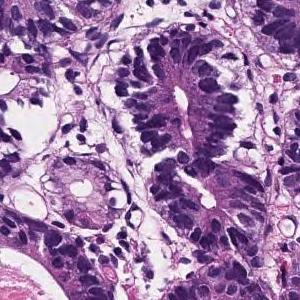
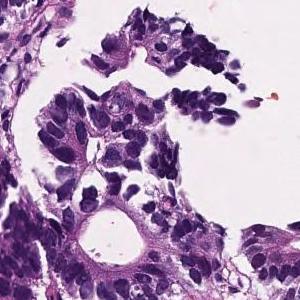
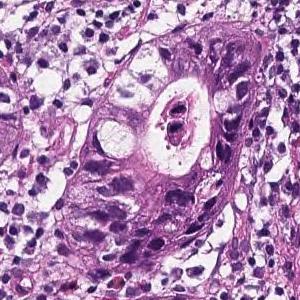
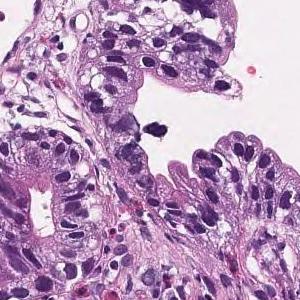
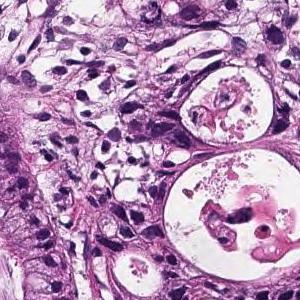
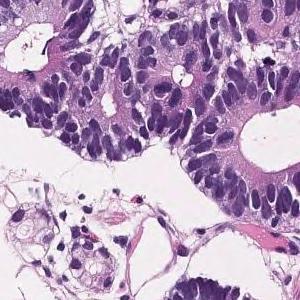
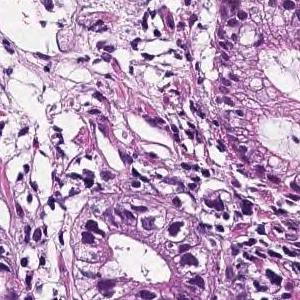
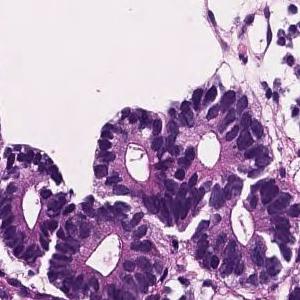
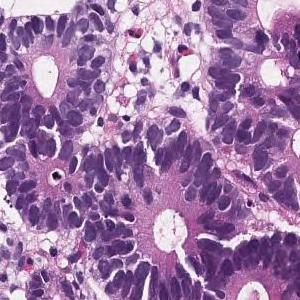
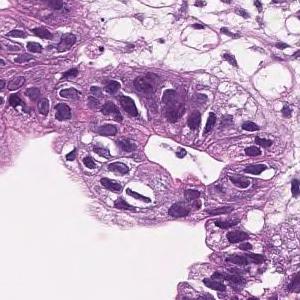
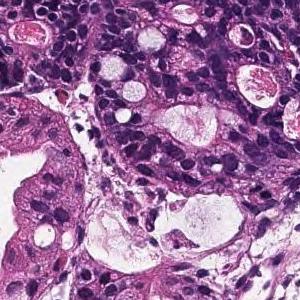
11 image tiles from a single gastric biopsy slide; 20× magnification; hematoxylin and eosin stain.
Pathology report for the biopsy slide these tiles were cut from. The report describes the whole slide, diagnosis included: not every finding it names need appear in these tiles, which may also show non-tumor tissue.
On the superficial epithelium, tumor tissue consisting of large, irregular glandular ducts partially fused and infiltrated is observed. Well to moderately differentiated tubular adenocarcinoma (well differentiated tubular adenocarcinoma, moderately differentiated tubular adenocarcinoma)
Classified as well to moderately differentiated tubular adenocarcinoma.
